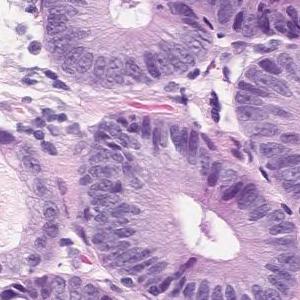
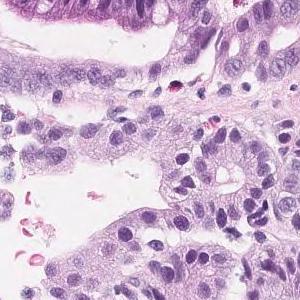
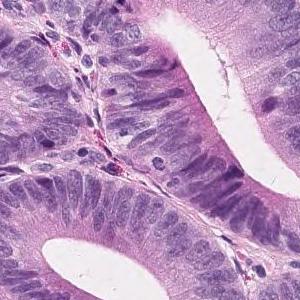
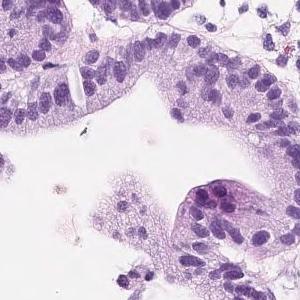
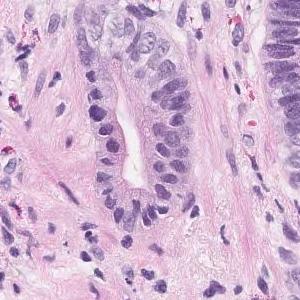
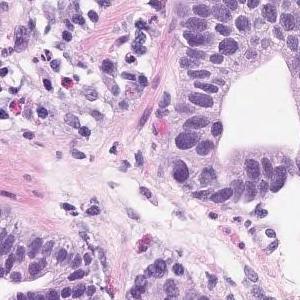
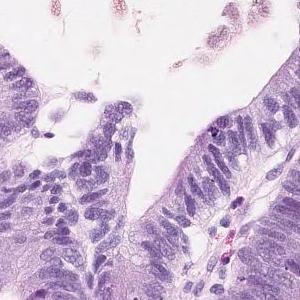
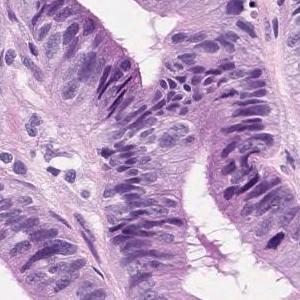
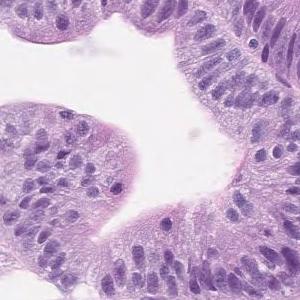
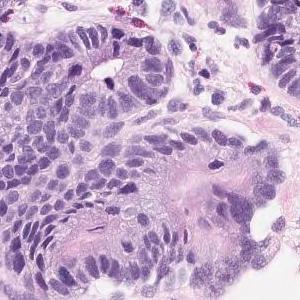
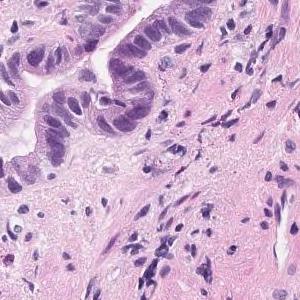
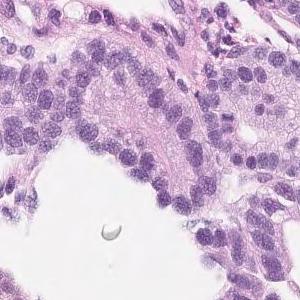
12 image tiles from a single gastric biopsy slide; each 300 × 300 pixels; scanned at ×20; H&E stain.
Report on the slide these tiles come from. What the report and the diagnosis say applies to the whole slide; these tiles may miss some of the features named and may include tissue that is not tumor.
Short atypical epithelium with swelling of the nucleus shows proliferating, large and small irregular ductal structures. Well to moderately differentiated tubular adenocarcinoma (well differentiated tubular adenocarcinoma-moderately differentiated tubular adenocarcinoma)
Tumor subtype: well to moderately differentiated tubular adenocarcinoma.
